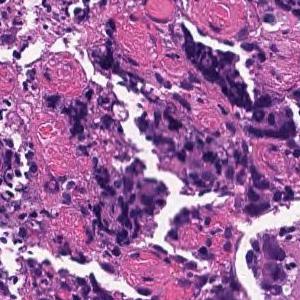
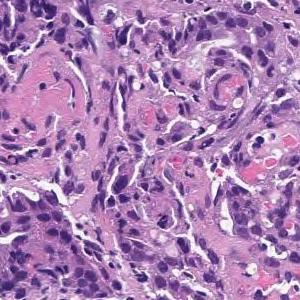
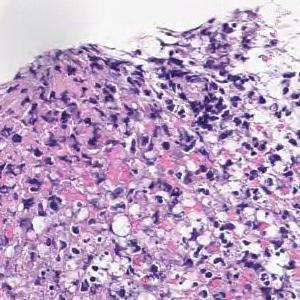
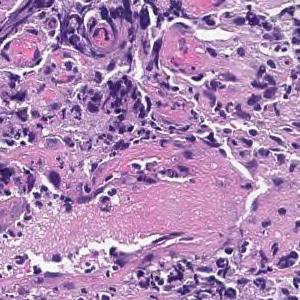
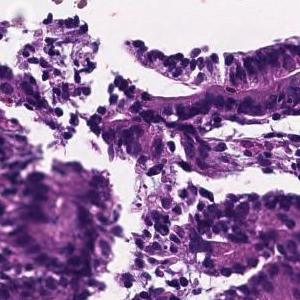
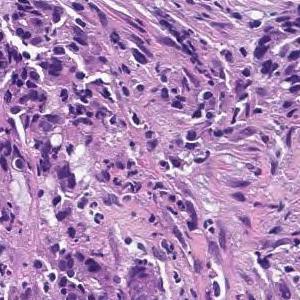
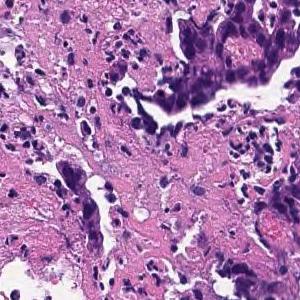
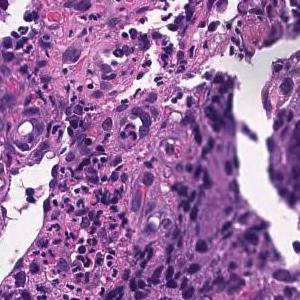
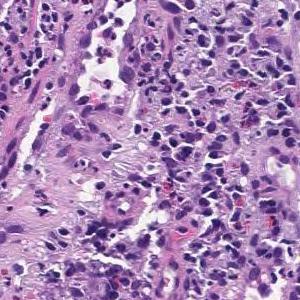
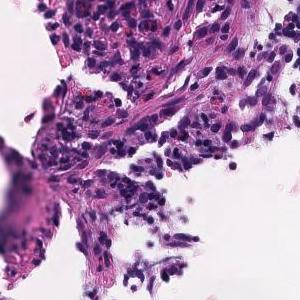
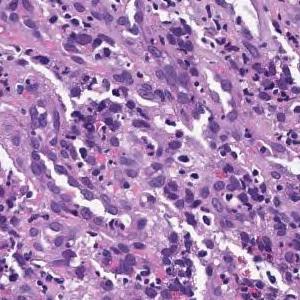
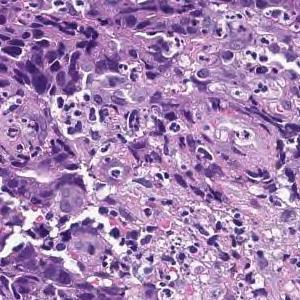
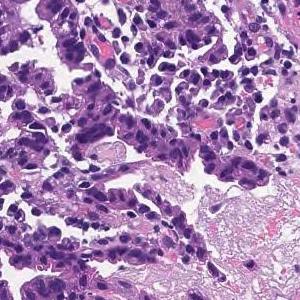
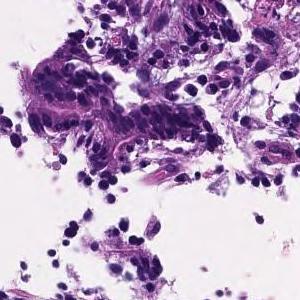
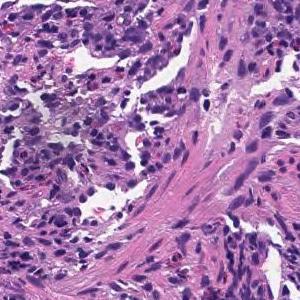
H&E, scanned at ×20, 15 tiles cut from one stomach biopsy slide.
The pathologist's report on the biopsy slide these tiles were taken from. What the report and the diagnosis say applies to the whole slide; these tiles may miss some of the features named and may include tissue that is not tumor.
On the superficial epithelium, tumor tissue consisting of large irregular glandular ducts partially fused and infiltrated is observed. Well to moderately differentiated tubular adenocarcinoma (well differentiated tubular adenocarcinoma, moderately differentiated tubular adenocarcinoma)
Histological subtype: Well to moderately differentiated tubular adenocarcinoma.
